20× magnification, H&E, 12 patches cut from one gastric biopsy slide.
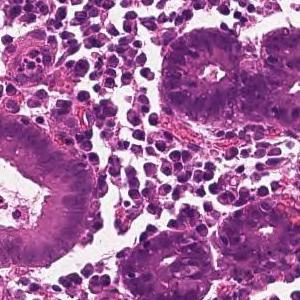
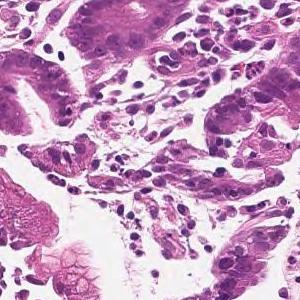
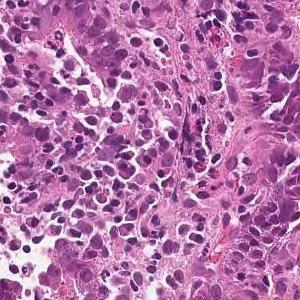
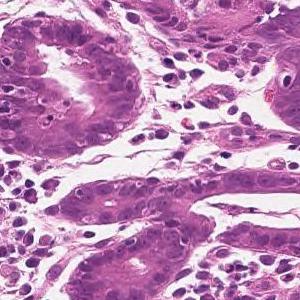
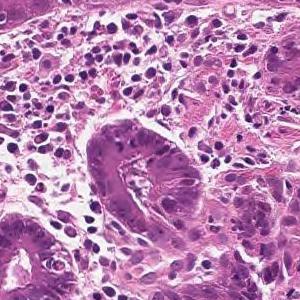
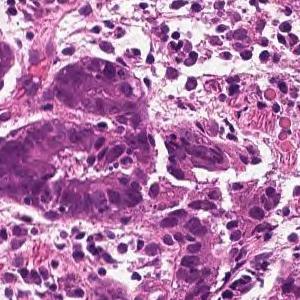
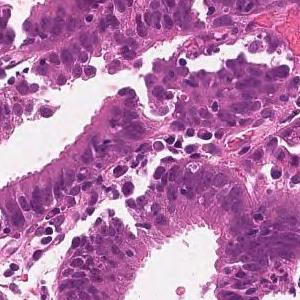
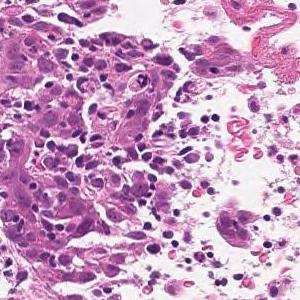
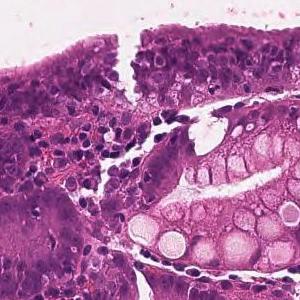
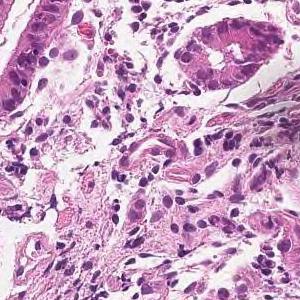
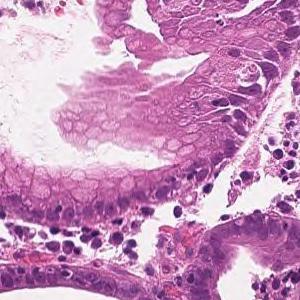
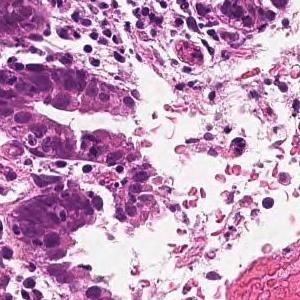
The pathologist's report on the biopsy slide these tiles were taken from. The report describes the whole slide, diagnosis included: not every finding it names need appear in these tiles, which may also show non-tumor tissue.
On the superficial epithelium, tumor tissue is found in which medium-sized irregular gland ducts fuse with each other and infiltrate. moderately differentiated tubular adenocarcinoma
